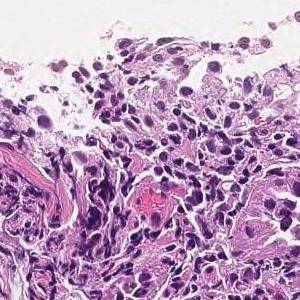
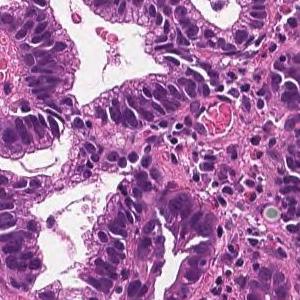
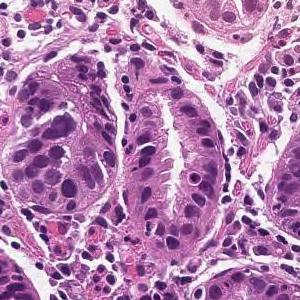
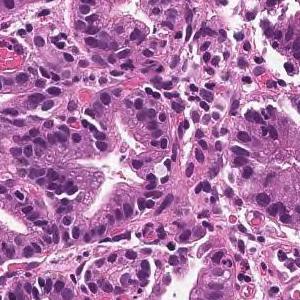
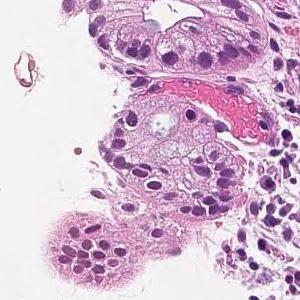
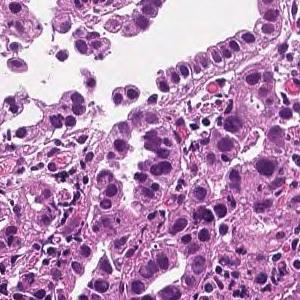
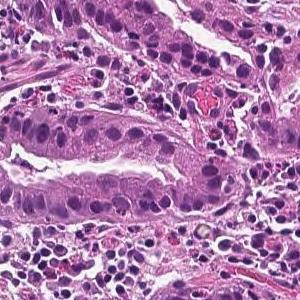
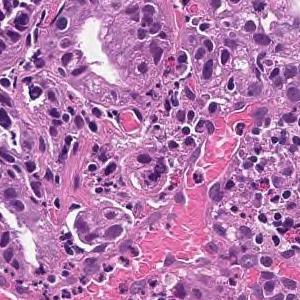
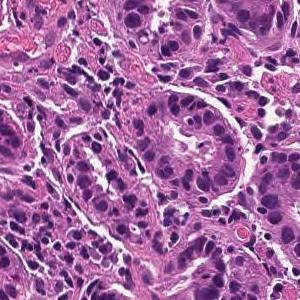
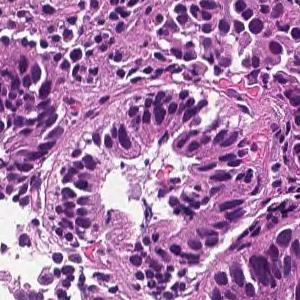
10 tiles from the same stomach biopsy slide · hematoxylin and eosin stain.
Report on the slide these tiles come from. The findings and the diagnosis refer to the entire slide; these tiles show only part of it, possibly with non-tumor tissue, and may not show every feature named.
On the superficial epithelium, tumor tissue consisting of large irregular glandular ducts partially fused and infiltrated is observed. Well to moderately differentiated tubular adenocarcinoma (well differentiated tubular adenocarcinoma, moderately differentiated tubular adenocarcinoma)
Histological subtype: Well to moderately differentiated tubular adenocarcinoma.
